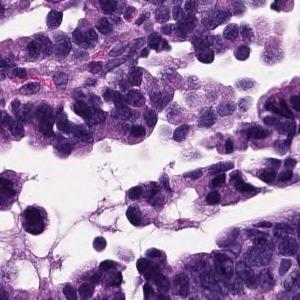
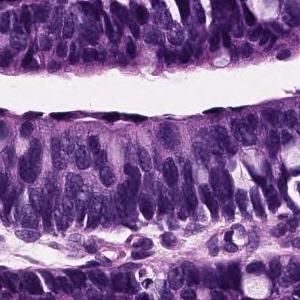
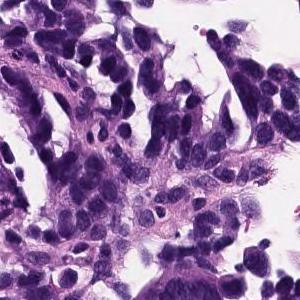
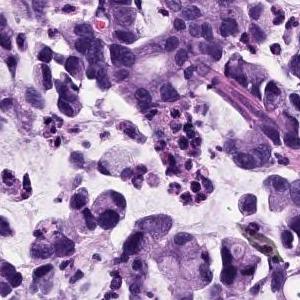
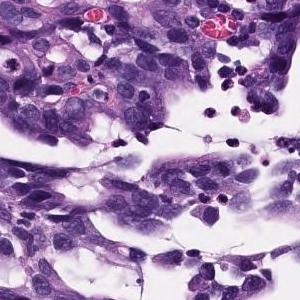
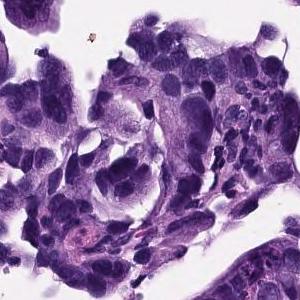
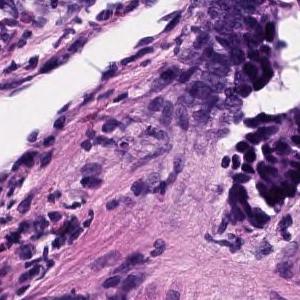
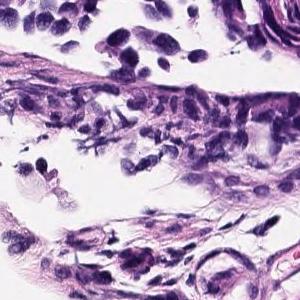
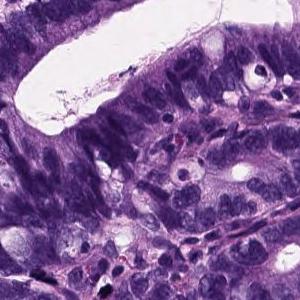
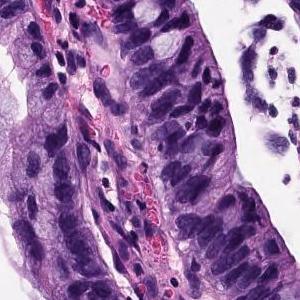
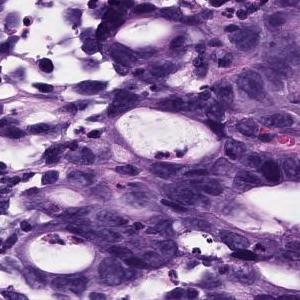
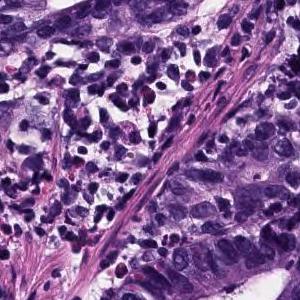
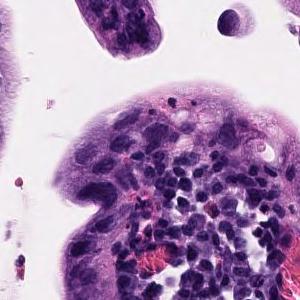
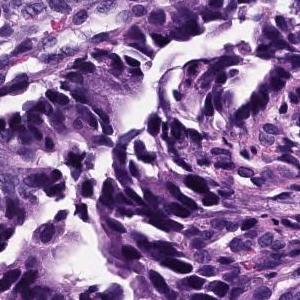
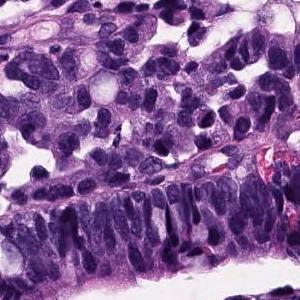
Hematoxylin and eosin stain · ×20 · 15 tiles cut from one stomach biopsy slide · 300 × 300 pixels each.
Pathology report for the biopsy slide these tiles were cut from. Both the report and the diagnosis are for the whole slide: these tiles need not show every feature named, and some of the tissue shown may not be tumor.
Atypical epithelium proliferating showing villus construction and irregular gland duct construction is observed. Moderately differentiated tubular adenocarcinoma.
